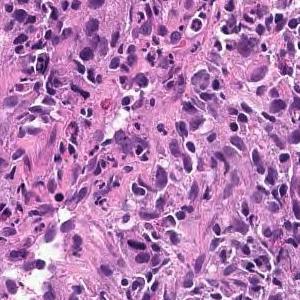
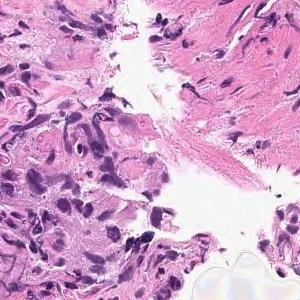
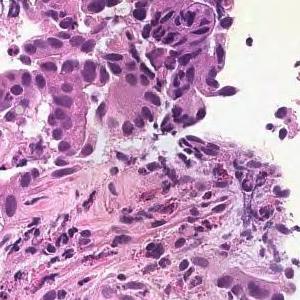
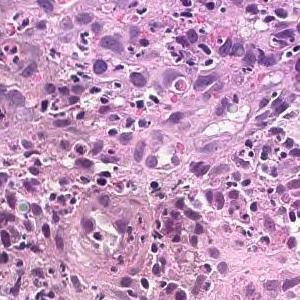
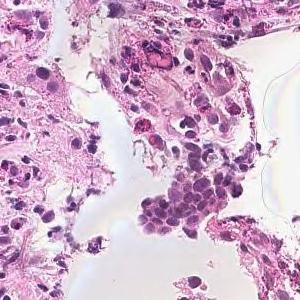
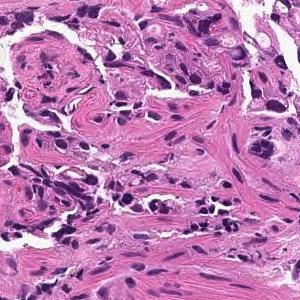
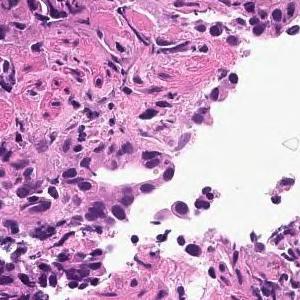
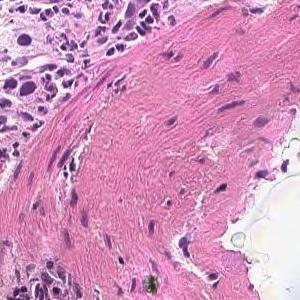
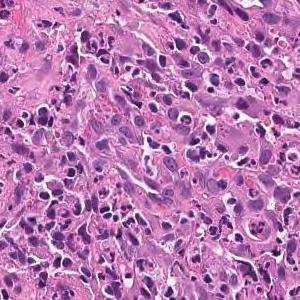
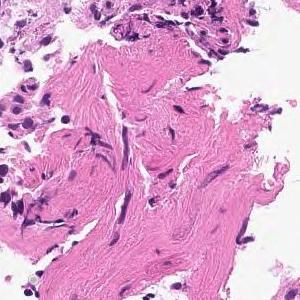
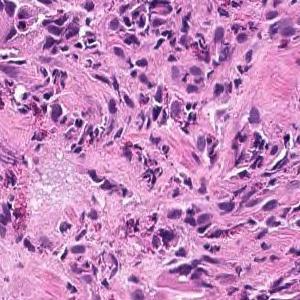
11 tiles from the same stomach biopsy slide · ×20 · H&E.
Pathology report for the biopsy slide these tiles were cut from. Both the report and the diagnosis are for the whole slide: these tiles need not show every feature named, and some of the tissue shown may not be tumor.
On the superficial epithelium, tumor tissue consisting of large irregular glandular ducts partially fused and infiltrated is observed. Well to moderately differentiated tubular adenocarcinoma (well differentiated tubular adenocarcinoma, moderately differentiated tubular adenocarcinoma)
Histologic type: Well to moderately differentiated tubular adenocarcinoma.
